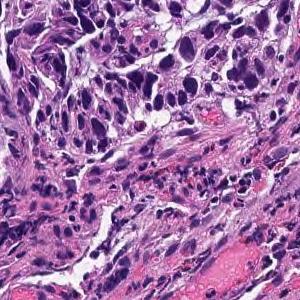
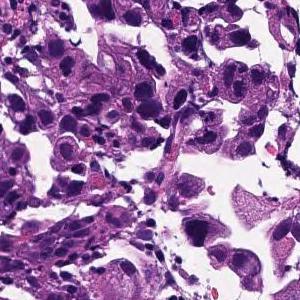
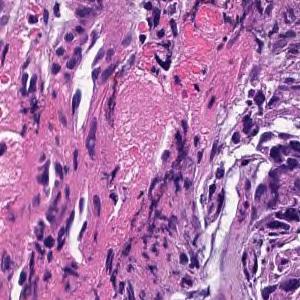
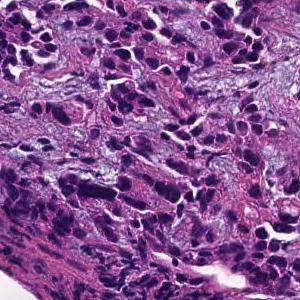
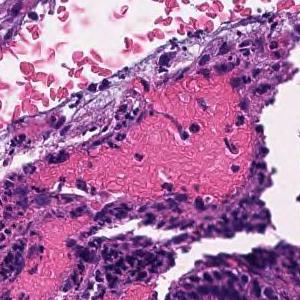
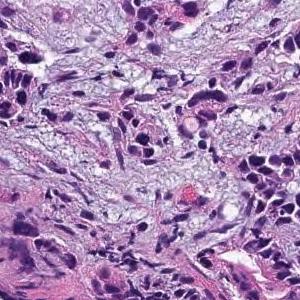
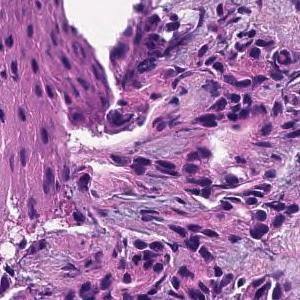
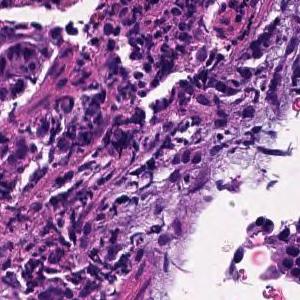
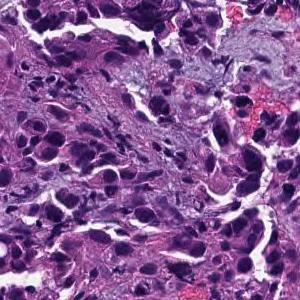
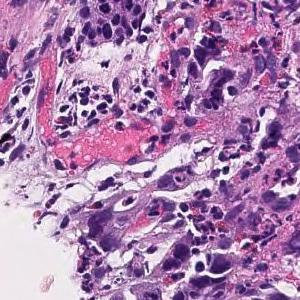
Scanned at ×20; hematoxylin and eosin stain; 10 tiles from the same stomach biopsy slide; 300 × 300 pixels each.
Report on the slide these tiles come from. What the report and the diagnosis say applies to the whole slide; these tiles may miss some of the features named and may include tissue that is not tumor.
Tumor tissue consisting of cord-like or small, irregular glandular ducts fused and infiltrated is observed in the superficial epithelium. Poorly differentiated adenocarcinoma, non-solid type
The term "non-solid type" comes from the Japanese Classification of Gastric Carcinoma.
